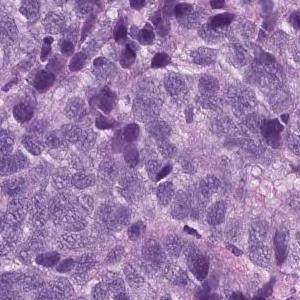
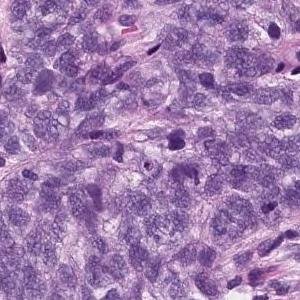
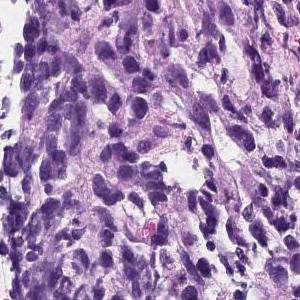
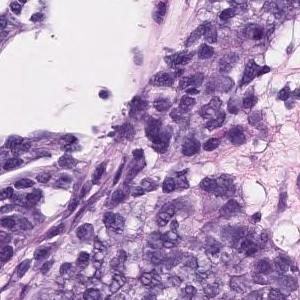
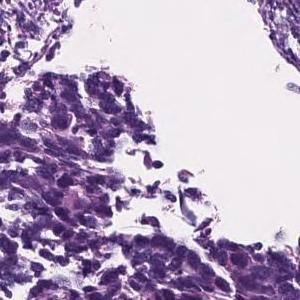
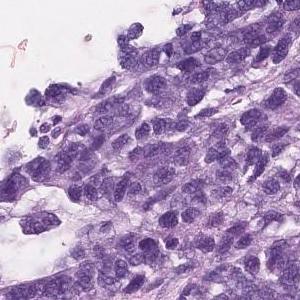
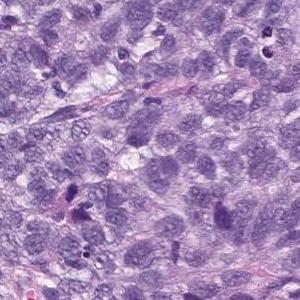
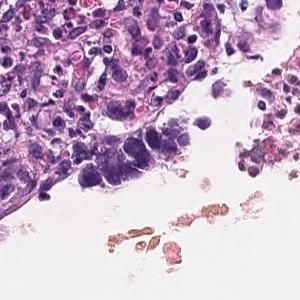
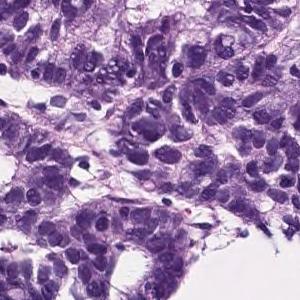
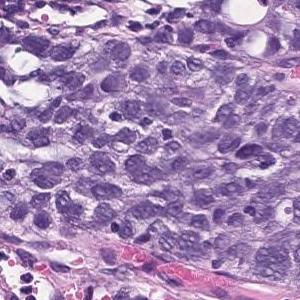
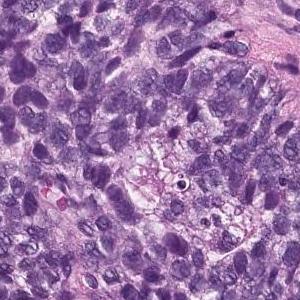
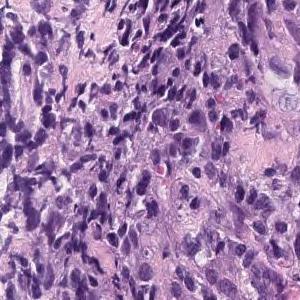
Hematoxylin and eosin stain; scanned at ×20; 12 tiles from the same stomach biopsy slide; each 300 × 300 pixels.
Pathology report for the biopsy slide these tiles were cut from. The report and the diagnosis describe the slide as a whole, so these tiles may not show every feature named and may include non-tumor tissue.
Epithelial cells with swollen nuclei with atypia invasively proliferating while forming vesicles is observed. Poorly differentiated adenocarcinoma
Tumor subtype: poorly differentiated adenocarcinoma, solid type, a category of the Japanese Classification of Gastric Carcinoma; in the WHO 2019 classification it is tubular adenocarcinoma, poorly differentiated.
